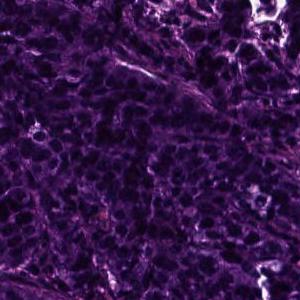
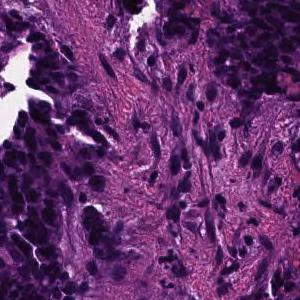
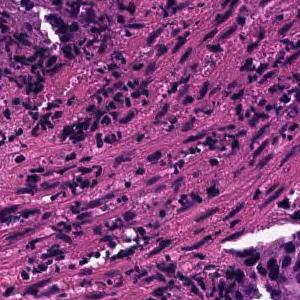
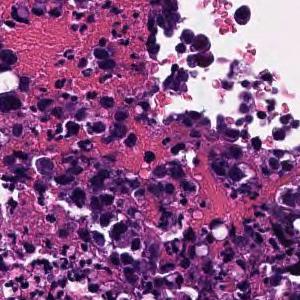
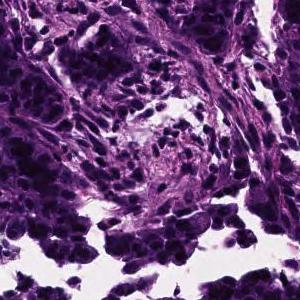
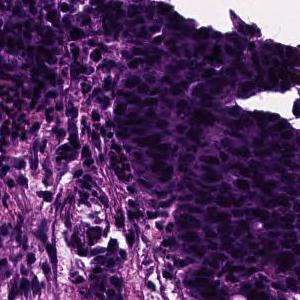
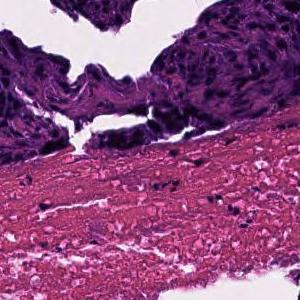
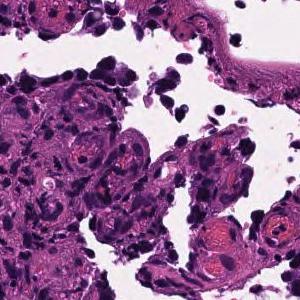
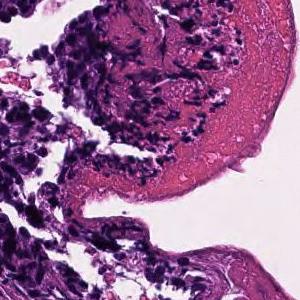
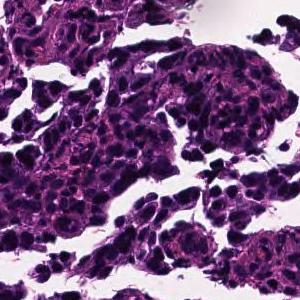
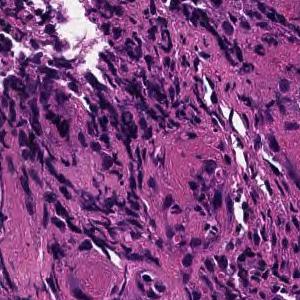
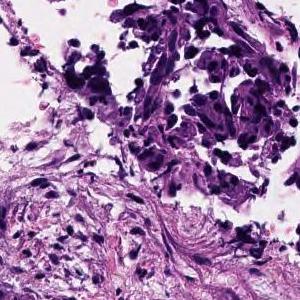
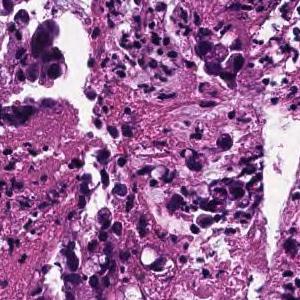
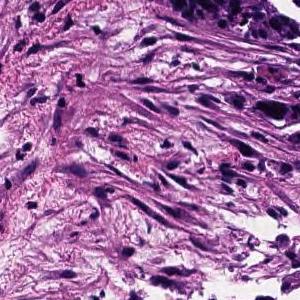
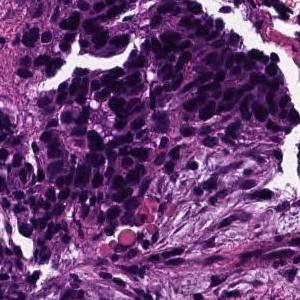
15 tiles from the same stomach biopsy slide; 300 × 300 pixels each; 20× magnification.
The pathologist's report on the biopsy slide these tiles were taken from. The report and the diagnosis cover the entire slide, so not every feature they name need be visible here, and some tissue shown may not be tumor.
In the superficial epithelium, tumor tissue that invades by forming medium-sized to small, irregular ducts is observed. moderately differentiated tubular adenocarcinoma.
